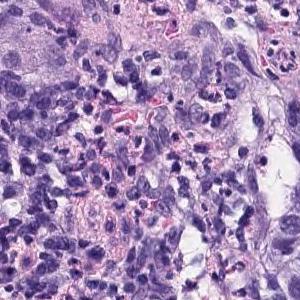
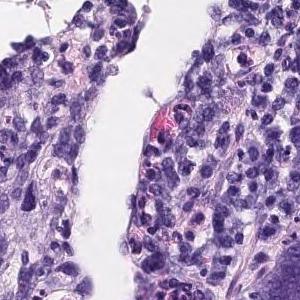
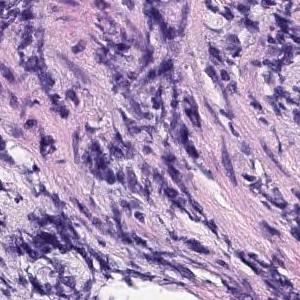
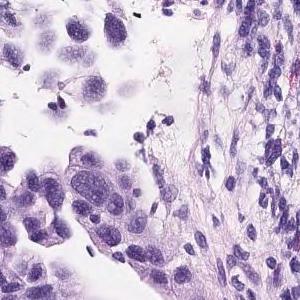
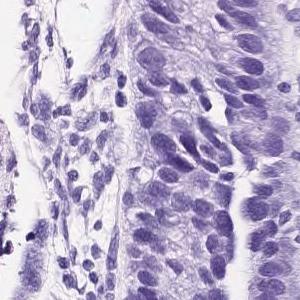
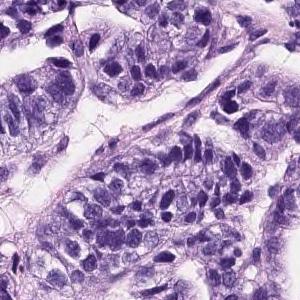
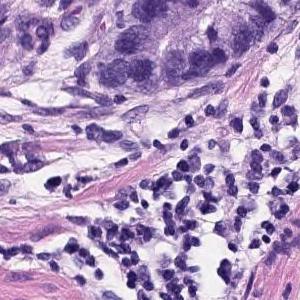
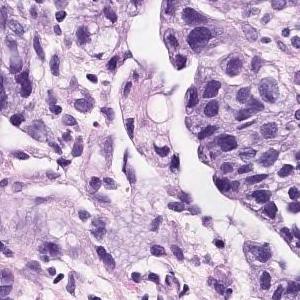
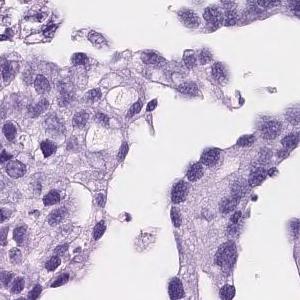
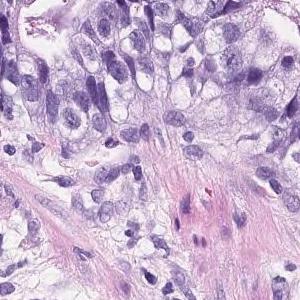
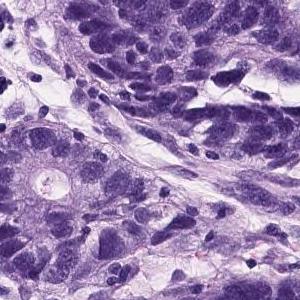
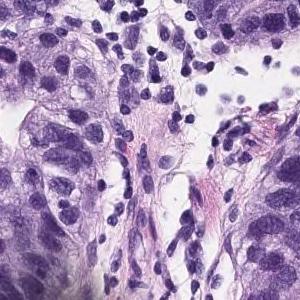
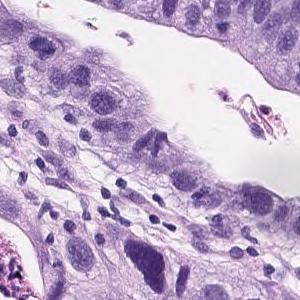
13 image tiles from a single gastric biopsy slide; each 300 × 300 pixels; 20× magnification; hematoxylin and eosin stain.
The pathologist's report on the biopsy slide these tiles were taken from. The report and the diagnosis cover the entire slide, so not every feature they name need be visible here, and some tissue shown may not be tumor.
On the superficial epithelium, tumor tissue consisting of medium to small irregular tubules partially fused and proliferated is observed. moderately differentiated tubular adenocarcinoma
